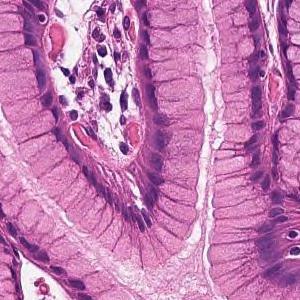
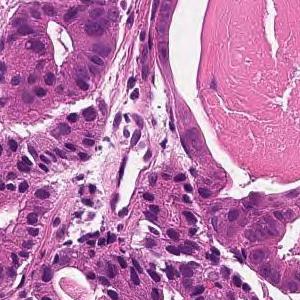
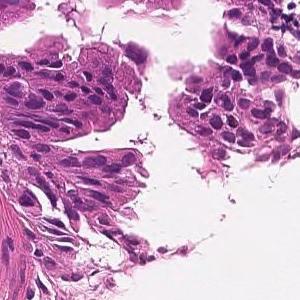
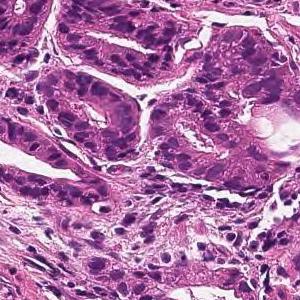
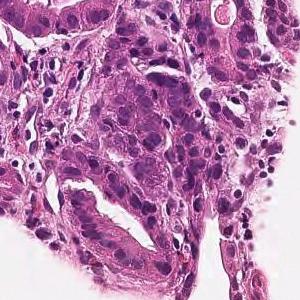
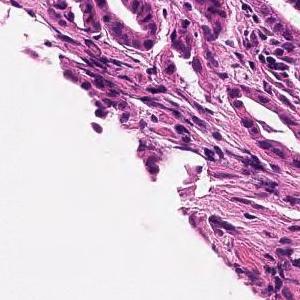
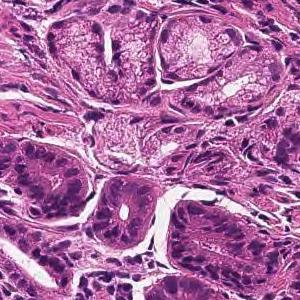
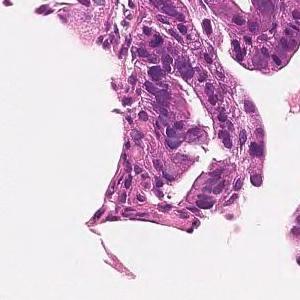
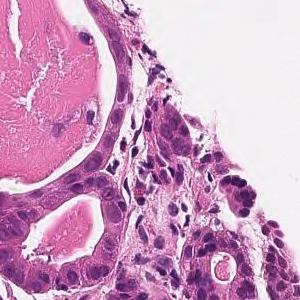
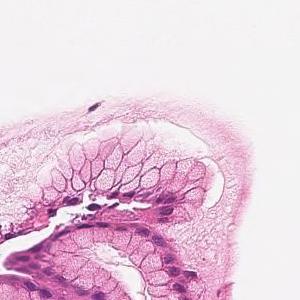
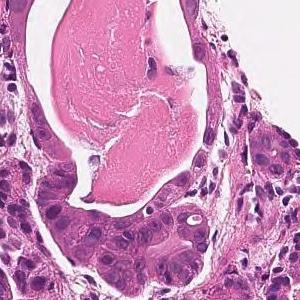
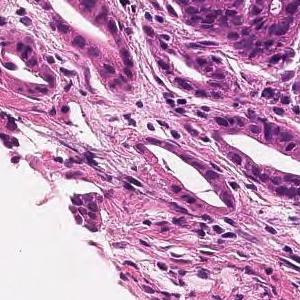
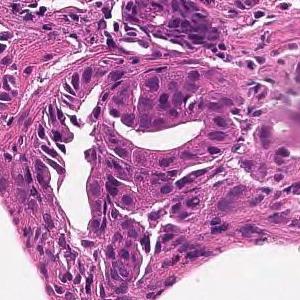
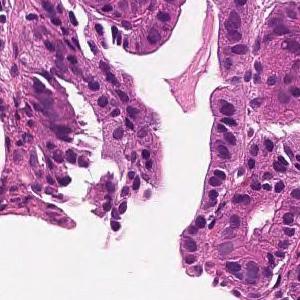
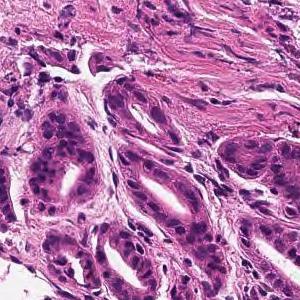
H&E; scanned at ×20; 15 tiles from the same stomach biopsy slide; 300 × 300 pixels each.
The pathologist's report on the biopsy slide these tiles were taken from. The findings and the diagnosis refer to the entire slide; these tiles show only part of it, possibly with non-tumor tissue, and may not show every feature named.
On the superficial epithelium, tumor tissue that infiltrates by forming medium-sized papillary or small irregular ducts is observed. Papillary adenocarcinoma
